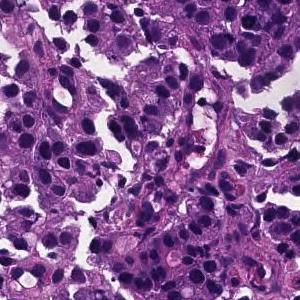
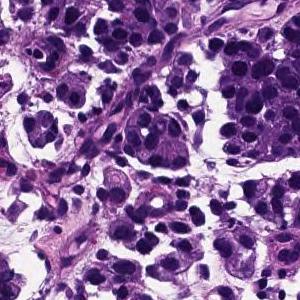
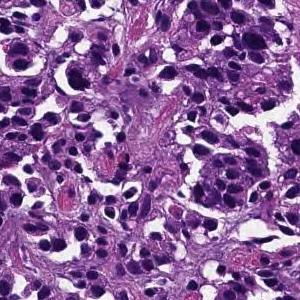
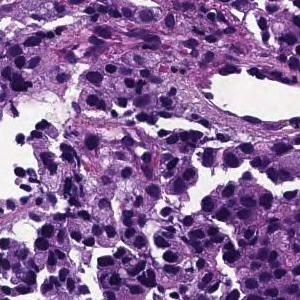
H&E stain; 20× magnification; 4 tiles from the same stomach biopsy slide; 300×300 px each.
Pathology report for the slide these tiles were cut from. The report and the diagnosis describe the slide as a whole, so these tiles may not show every feature named and may include non-tumor tissue.
The superficial epithelium shows a large alveolar shape and infiltrates tumor tissue. Poorly differentiated adenocarcinoma, solid-type
Histologic type: Poorly differentiated adenocarcinoma, solid type (Japanese Classification of Gastric Carcinoma). The WHO 2019 equivalent is tubular adenocarcinoma, poorly differentiated.
